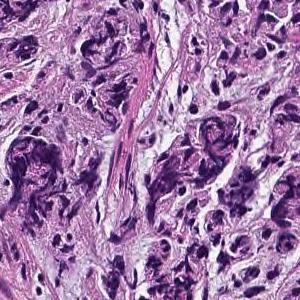
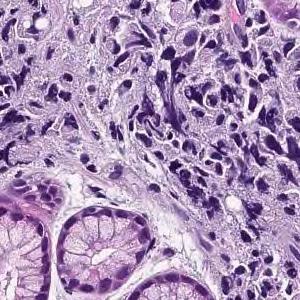
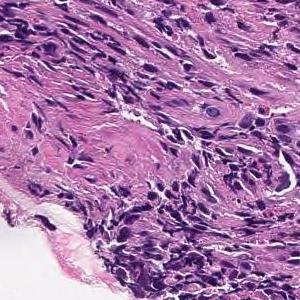
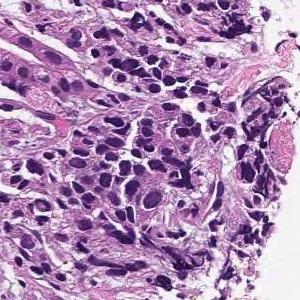
20× magnification · hematoxylin and eosin stain · 4 patches cut from one gastric biopsy slide · 300 × 300 pixels each.
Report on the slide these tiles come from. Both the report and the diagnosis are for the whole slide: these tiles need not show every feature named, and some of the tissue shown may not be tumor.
The lamina propria shows small cord-like tumor tissue that infiltrates with fibrosis and marked chronic inflammatory cell infiltration. Poorly differentiated adenocarcinoma, non-solid type
The term "non-solid type" comes from the Japanese Classification of Gastric Carcinoma.
